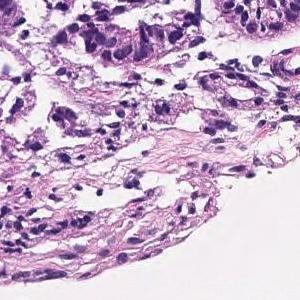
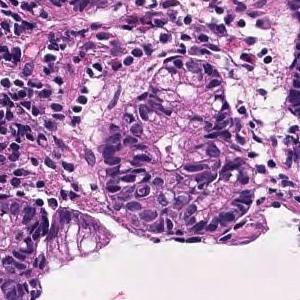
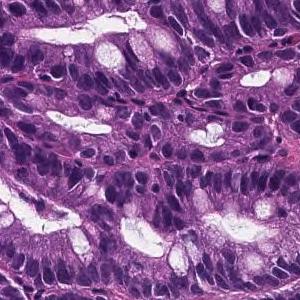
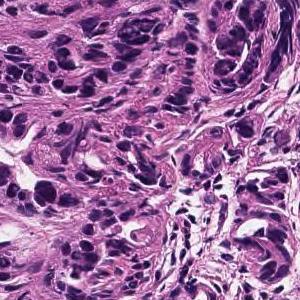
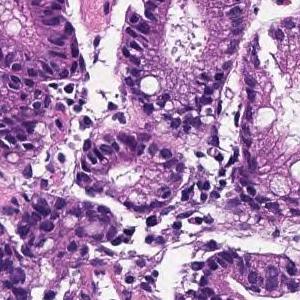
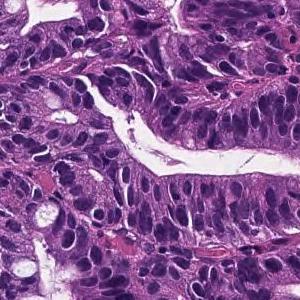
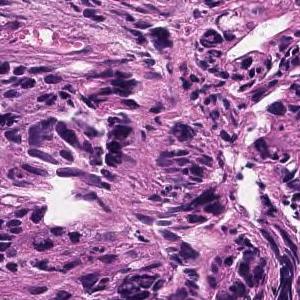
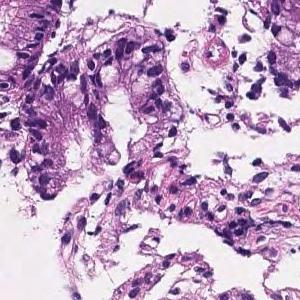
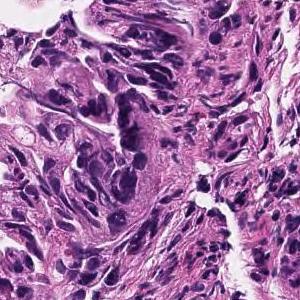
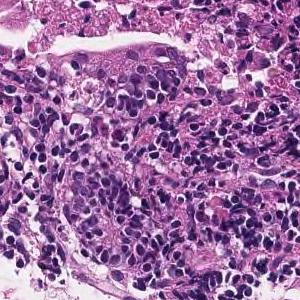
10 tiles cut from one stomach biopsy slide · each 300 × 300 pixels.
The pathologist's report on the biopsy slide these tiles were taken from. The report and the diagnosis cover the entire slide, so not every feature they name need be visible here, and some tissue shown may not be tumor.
Most remain in the superficial epithelium, forming medium-sized papillary or small irregular ducts and proliferating, and some tumor tissue invades the muscularis mucosae. Papillary adenocarcinoma
